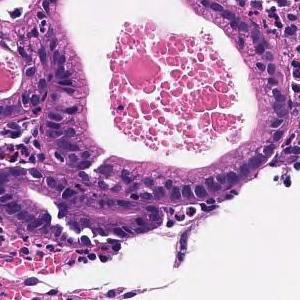
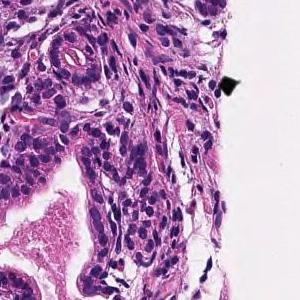
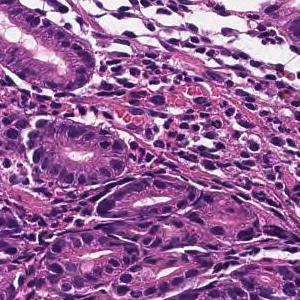
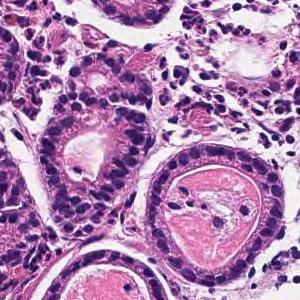
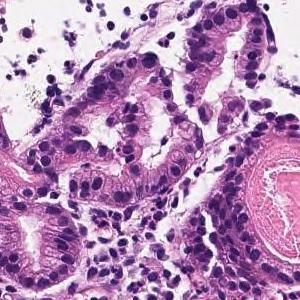
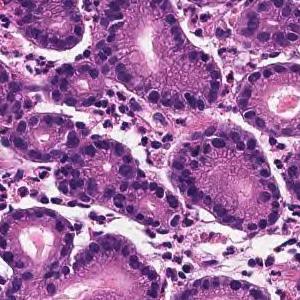
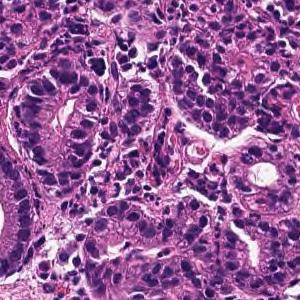
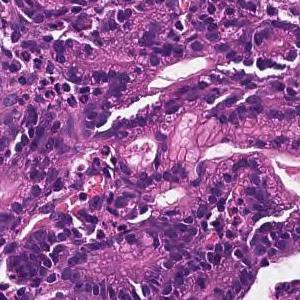
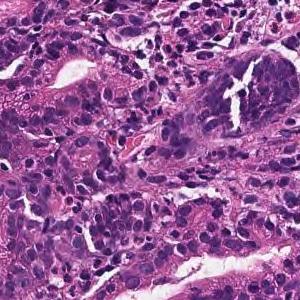
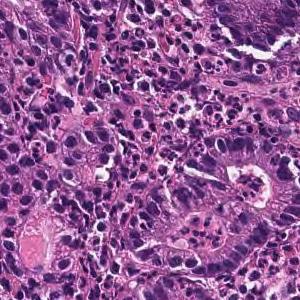
Scanned at ×20, H&E, 10 image tiles from a single gastric biopsy slide.
Pathology report for the slide these tiles were cut from. The report and the diagnosis cover the entire slide, so not every feature they name need be visible here, and some tissue shown may not be tumor.
Tumor tissue infiltrated and proliferated with small to medium-sized irregular tubules is observed in the superficial epithelium. Well differentiated tubular adenocarcinoma
